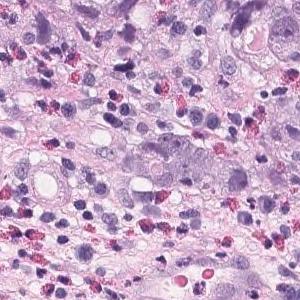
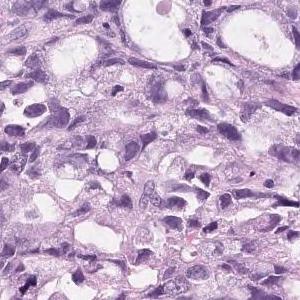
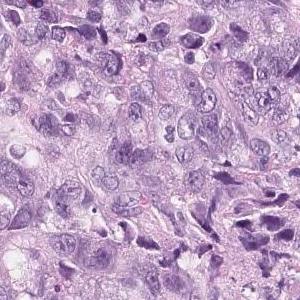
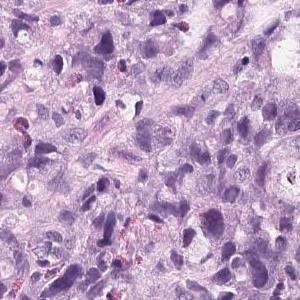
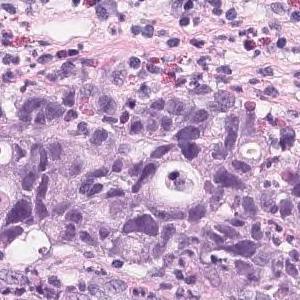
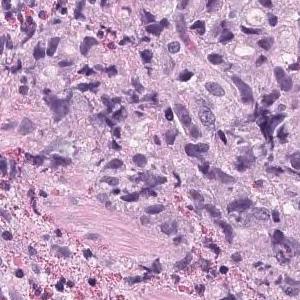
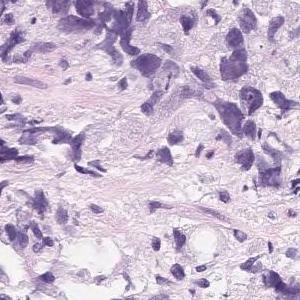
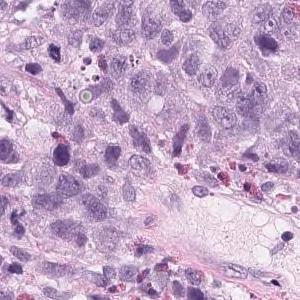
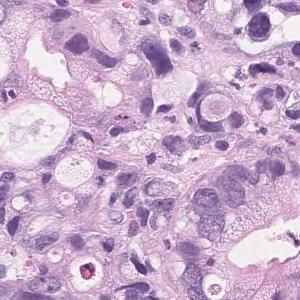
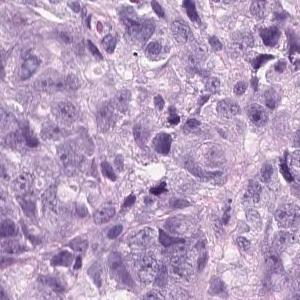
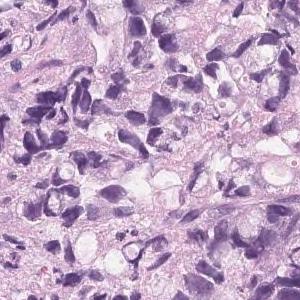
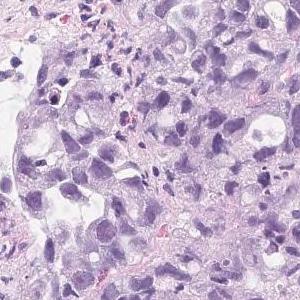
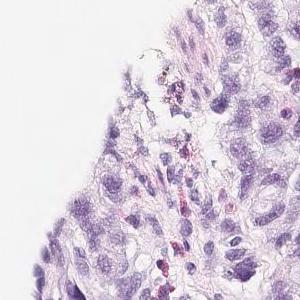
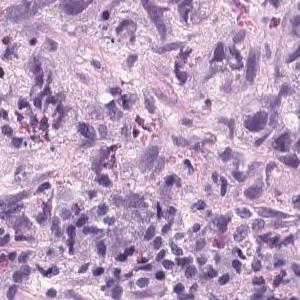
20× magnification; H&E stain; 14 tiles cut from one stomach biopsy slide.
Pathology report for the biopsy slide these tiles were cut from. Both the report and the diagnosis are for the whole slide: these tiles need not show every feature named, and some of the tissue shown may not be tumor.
Tumor tissue that infiltrates and proliferates by forming small glandular cavities in the superficial layer to the submucosa or forming a mass is observed. moderately differentiated tubular adenocarcinoma
